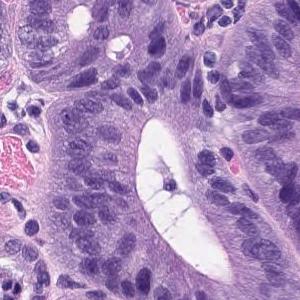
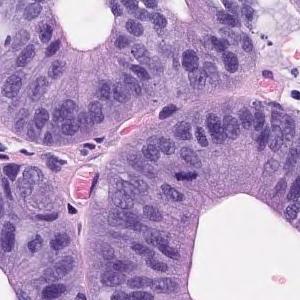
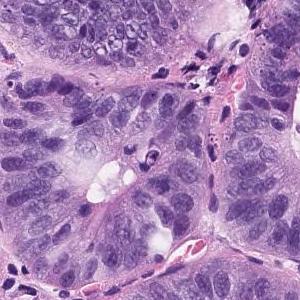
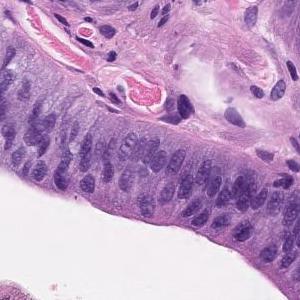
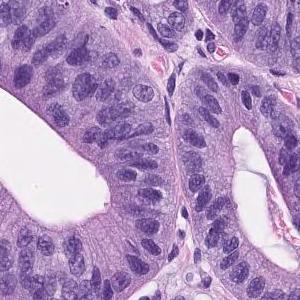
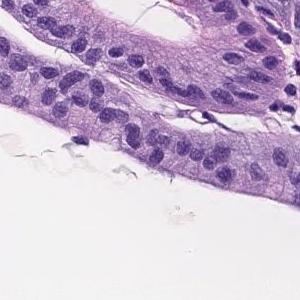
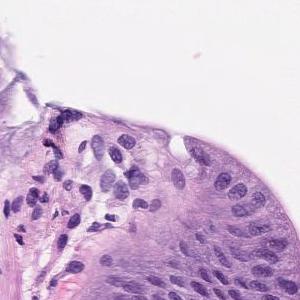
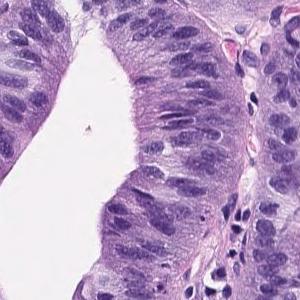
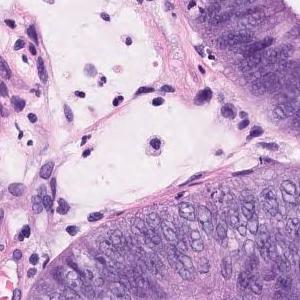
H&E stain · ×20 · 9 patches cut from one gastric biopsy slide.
Report on the slide these tiles come from. The report and the diagnosis describe the slide as a whole, so these tiles may not show every feature named and may include non-tumor tissue.
On the superficial epithelium, tumor tissue consisting of images of atypical ducts of different sizes partially fused and densely proliferating is observed. Well differentiated tubular adenocarcinoma
